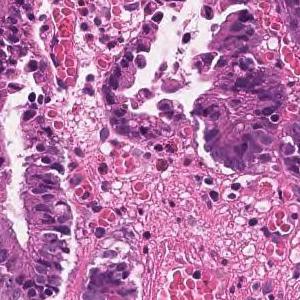
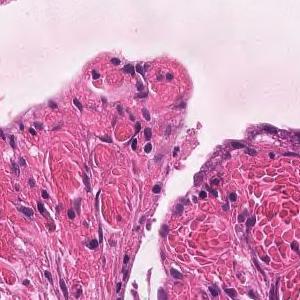
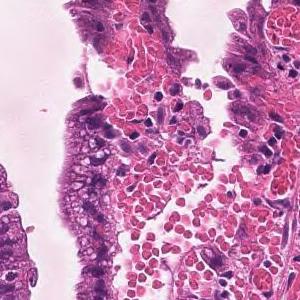
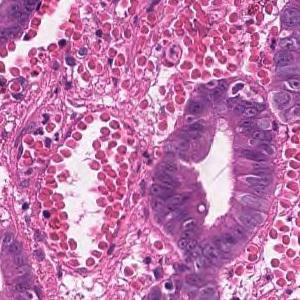
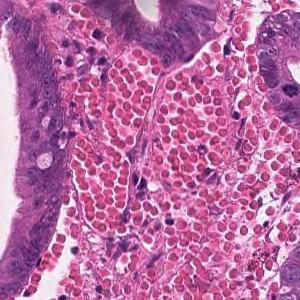
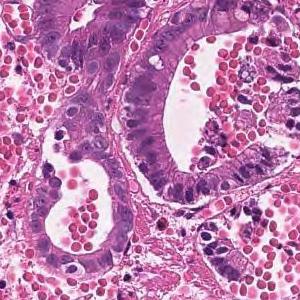
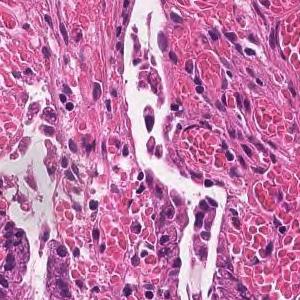
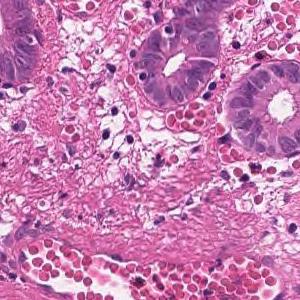
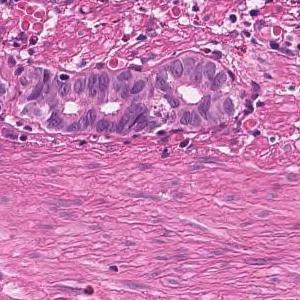
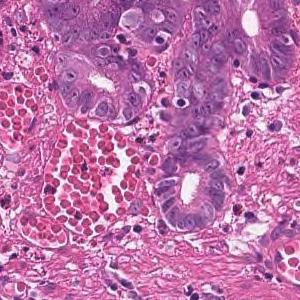
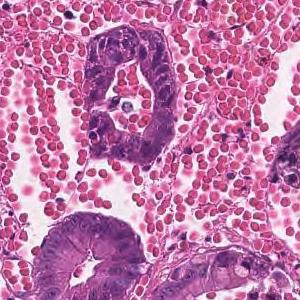
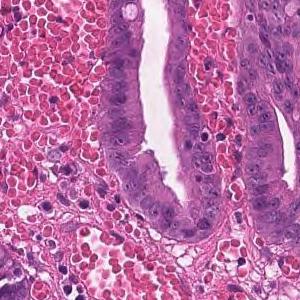
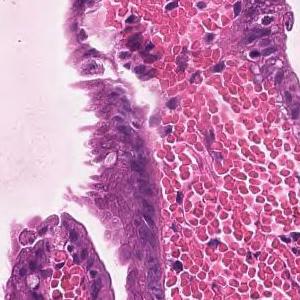
13 tiles cut from one stomach biopsy slide; 300 × 300 pixels each; 20× magnification; H&E.
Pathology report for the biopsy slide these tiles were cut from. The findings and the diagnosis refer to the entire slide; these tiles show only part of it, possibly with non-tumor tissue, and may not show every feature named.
Well to moderately differentiated tubular adenocarcinoma showing dense growth with irregular fusion of small irregular ducts (well differentiated tubular adenocarcinoma, moderately differentiated tubular adenocarcinoma)
Subtype: Well to moderately differentiated tubular adenocarcinoma.
